8 patches cut from one gastric biopsy slide · hematoxylin and eosin stain · 20× magnification.
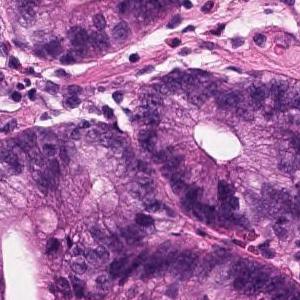
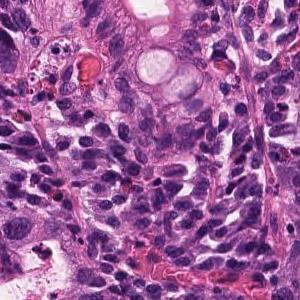
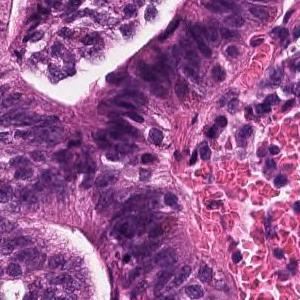
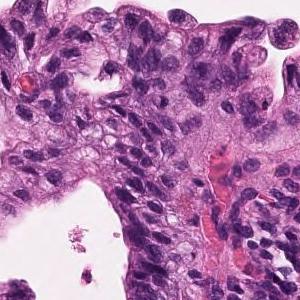
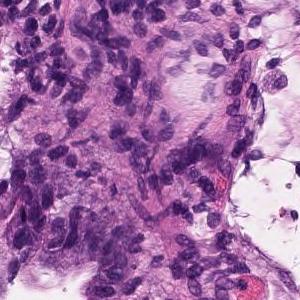
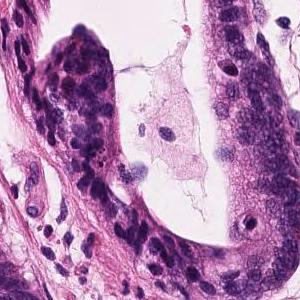
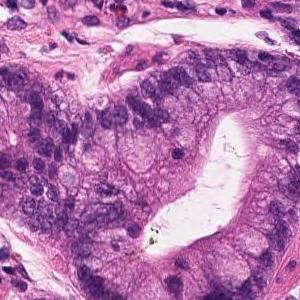
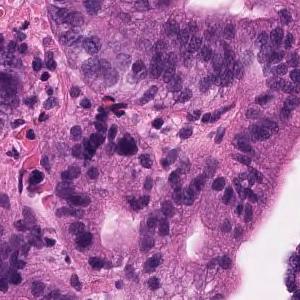
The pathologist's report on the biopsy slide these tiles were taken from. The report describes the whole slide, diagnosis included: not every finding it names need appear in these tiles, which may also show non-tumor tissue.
In the superficial epithelium, tumor tissue that invades by forming medium-sized to small, irregular ducts is observed. Moderately differentiated adenocarcinoma.
Histological subtype: Moderately differentiated tubular adenocarcinoma.
